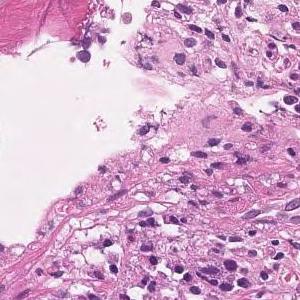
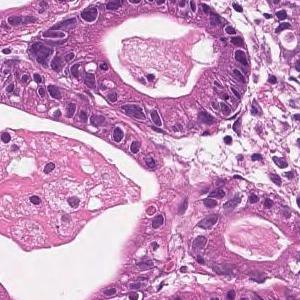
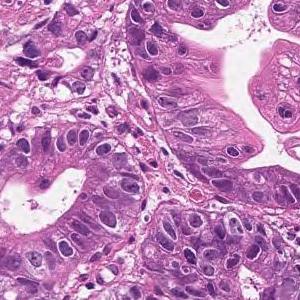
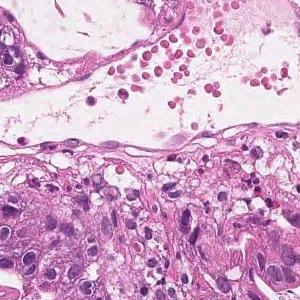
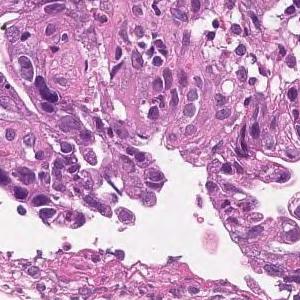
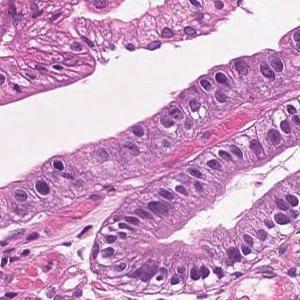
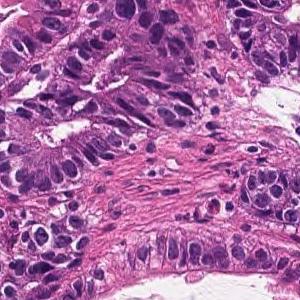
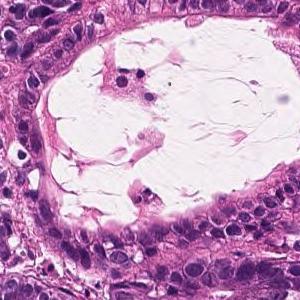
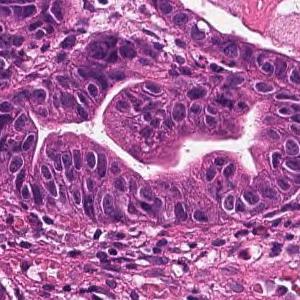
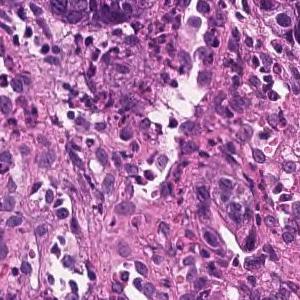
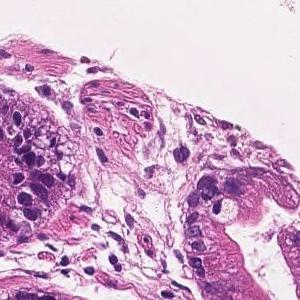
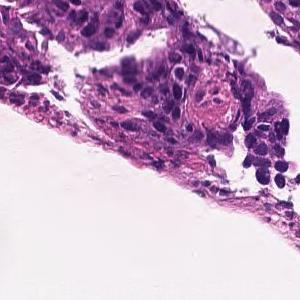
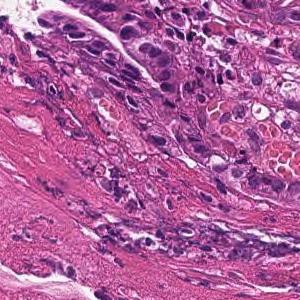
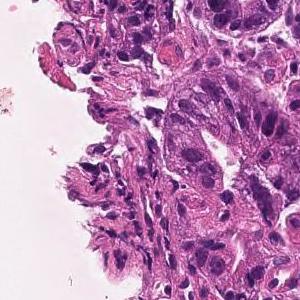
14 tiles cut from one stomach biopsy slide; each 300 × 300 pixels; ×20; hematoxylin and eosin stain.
Pathology report for the slide these tiles were cut from. The report and the diagnosis cover the entire slide, so not every feature they name need be visible here, and some tissue shown may not be tumor.
In the superficial epithelium, tumor tissue that invades by forming medium-sized to small, irregular ducts is observed. Well differentiated tubular adenocarcinoma.
